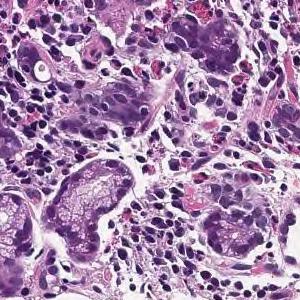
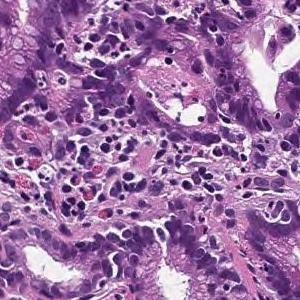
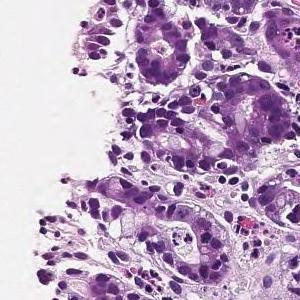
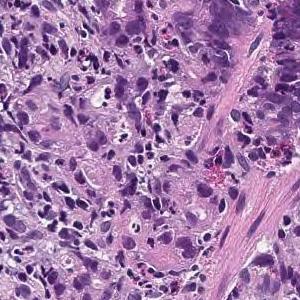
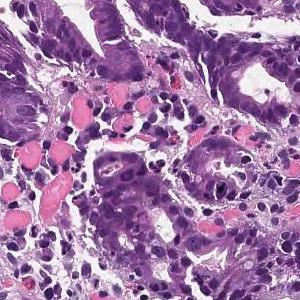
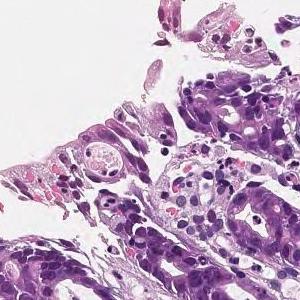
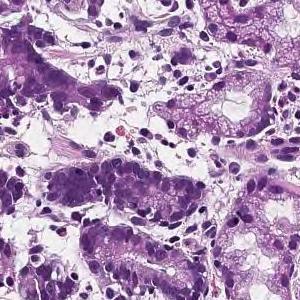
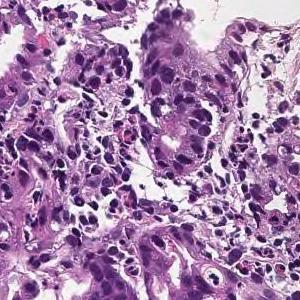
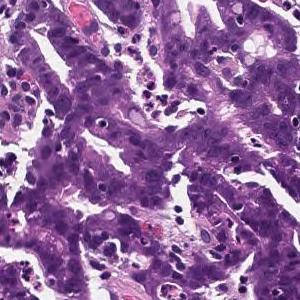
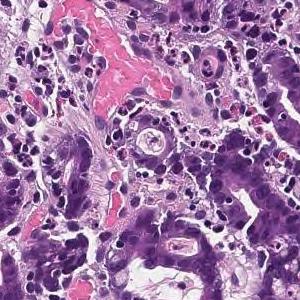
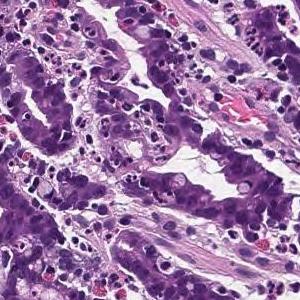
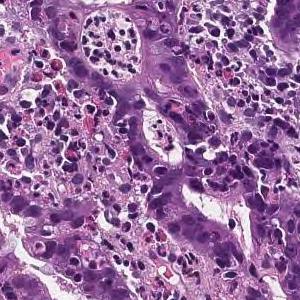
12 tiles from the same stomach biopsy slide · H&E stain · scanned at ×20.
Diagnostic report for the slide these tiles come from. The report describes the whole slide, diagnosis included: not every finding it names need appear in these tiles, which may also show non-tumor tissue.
In the superficial epithelium, tumor tissue that invades by forming medium-sized to small, irregular ducts is observed. moderately differentiated tubular adenocarcinoma.
